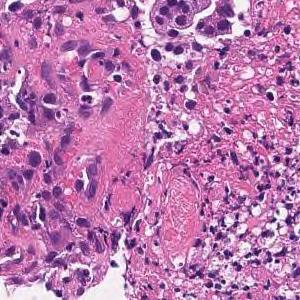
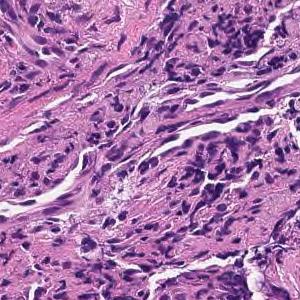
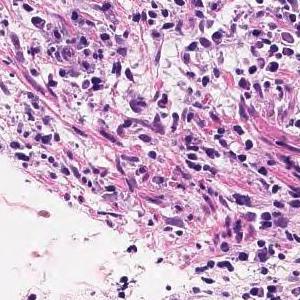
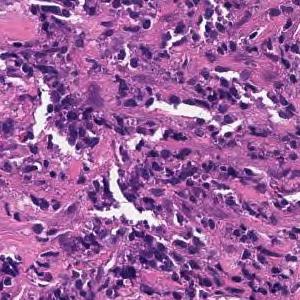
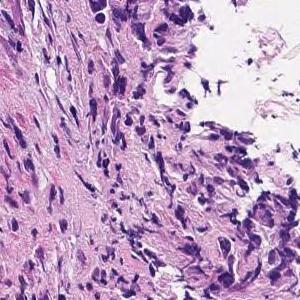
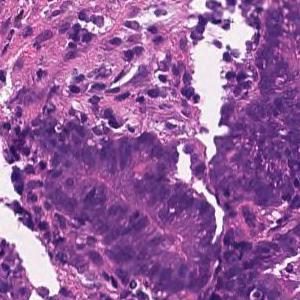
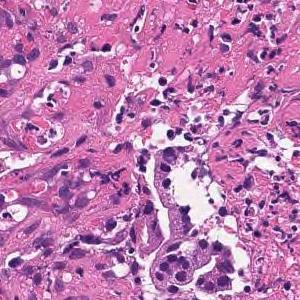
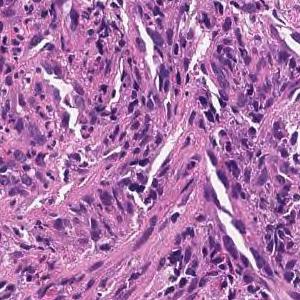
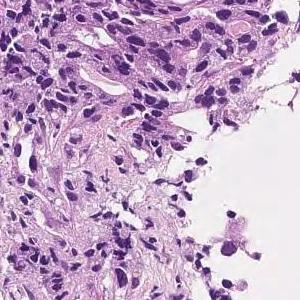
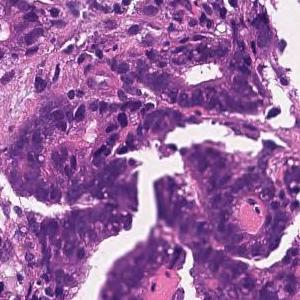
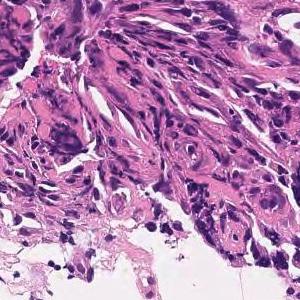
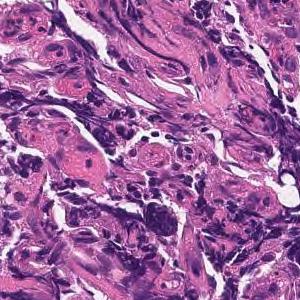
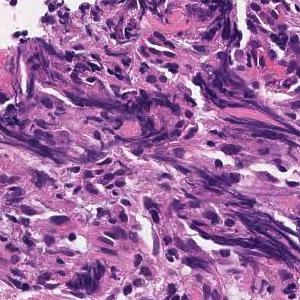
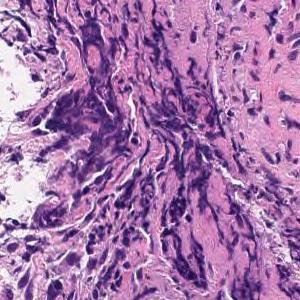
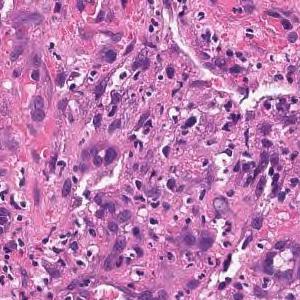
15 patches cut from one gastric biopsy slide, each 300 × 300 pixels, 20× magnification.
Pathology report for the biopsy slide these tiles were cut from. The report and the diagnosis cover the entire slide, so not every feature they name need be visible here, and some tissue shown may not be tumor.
Tumor tissue consisting of medium-sized, cord-like or irregular glandular infiltration is observed in the superficial epithelium. Poorly differentiated adenocarcinoma, non-solid type or moderately differentiated tubular adenocarcinoma
Subtype: Moderately to poorly differentiated adenocarcinoma.
The term "non-solid type" comes from the Japanese Classification of Gastric Carcinoma.
